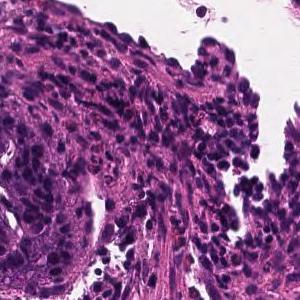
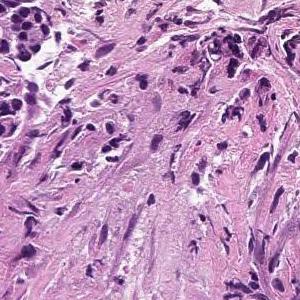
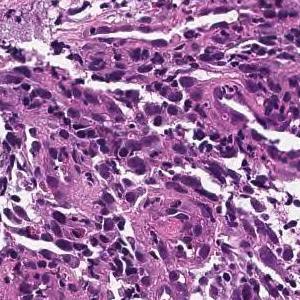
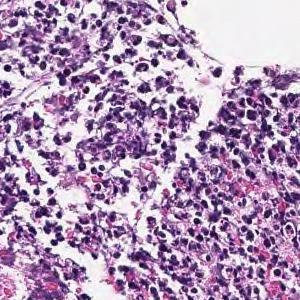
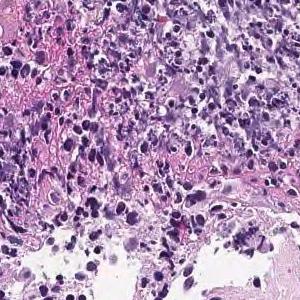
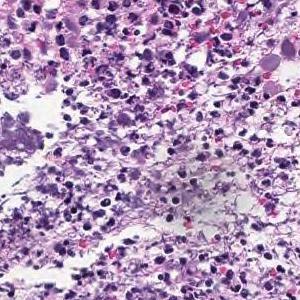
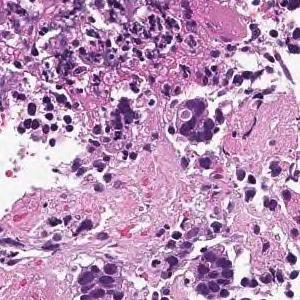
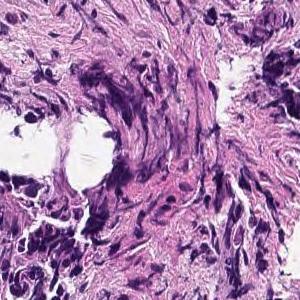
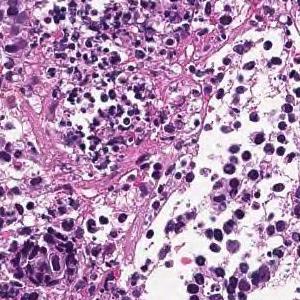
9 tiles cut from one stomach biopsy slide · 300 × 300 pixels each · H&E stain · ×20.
Diagnostic report for the slide these tiles come from. Both the report and the diagnosis are for the whole slide: these tiles need not show every feature named, and some of the tissue shown may not be tumor.
In the superficial epithelium, tumor tissue that invades by forming medium-sized to small, irregular ducts is observed. moderately differentiated tubular adenocarcinoma.
